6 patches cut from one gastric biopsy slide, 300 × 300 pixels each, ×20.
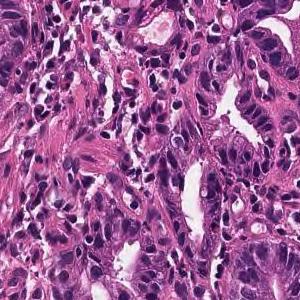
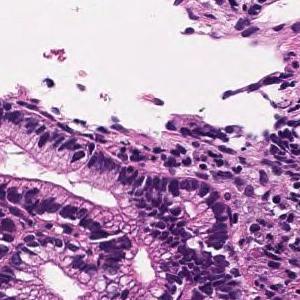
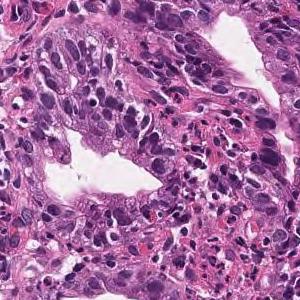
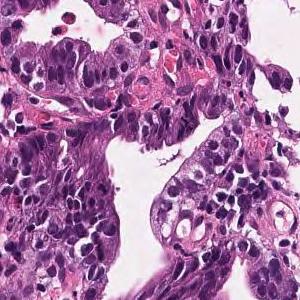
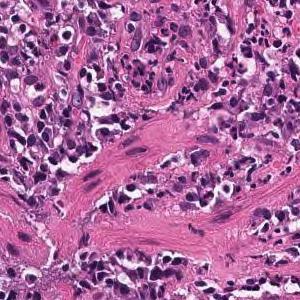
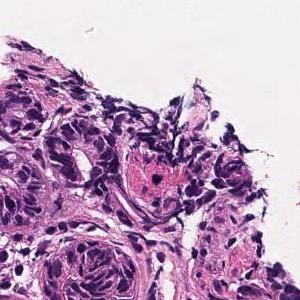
Pathology report for the biopsy slide these tiles were cut from. The findings and the diagnosis refer to the entire slide; these tiles show only part of it, possibly with non-tumor tissue, and may not show every feature named.
Tumor tissue in which medium to small irregular ducts infiltrate and proliferate in the submucosa can be seen in the epithelium. Well differentiated tubular adenocarcinoma
